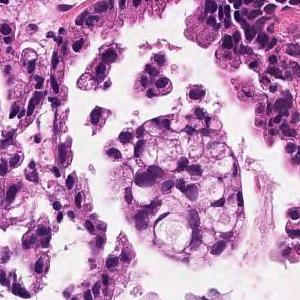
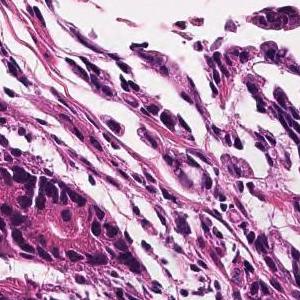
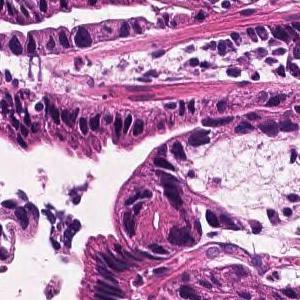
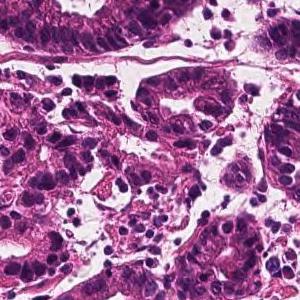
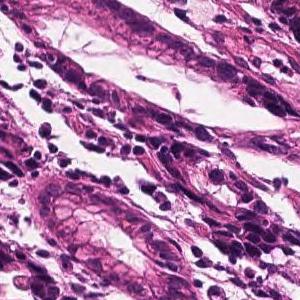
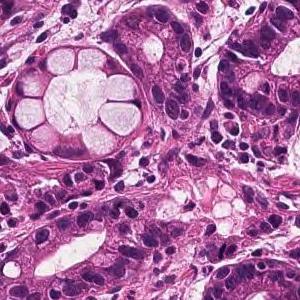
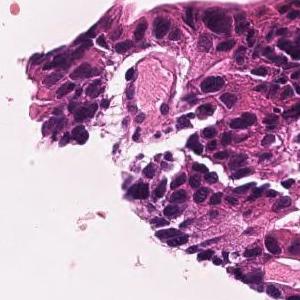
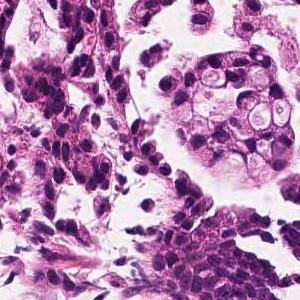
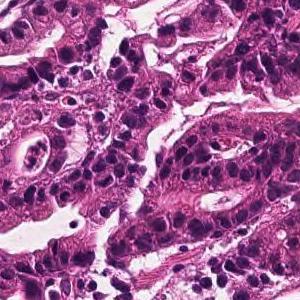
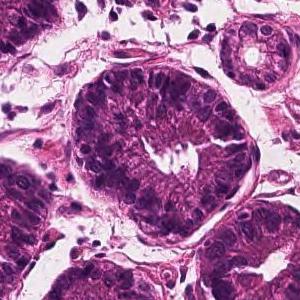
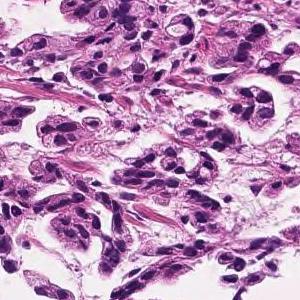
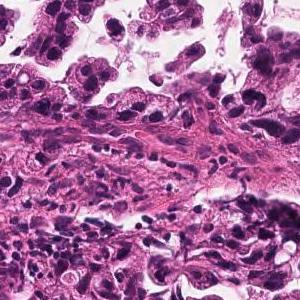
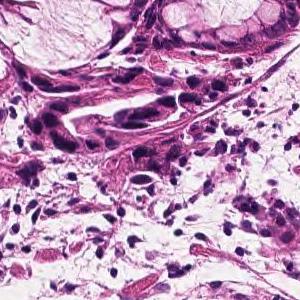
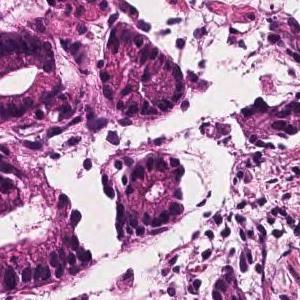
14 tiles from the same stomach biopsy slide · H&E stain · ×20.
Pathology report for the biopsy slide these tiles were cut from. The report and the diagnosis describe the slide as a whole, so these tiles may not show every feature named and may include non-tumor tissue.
In the superficial epithelium, tumor tissue that invades by forming medium-sized to small, irregular ducts is observed. moderately differentiated tubular adenocarcinoma.
